Hematoxylin and eosin stain, 20× magnification, 13 tiles cut from one stomach biopsy slide.
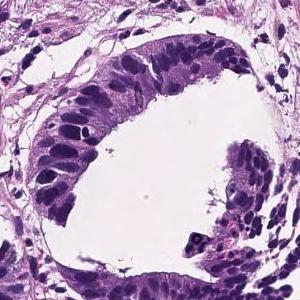
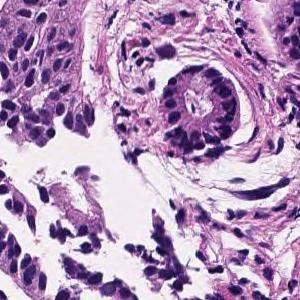
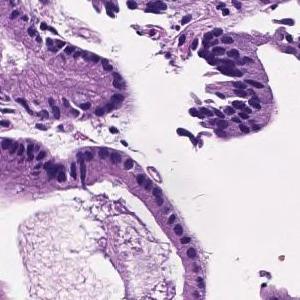
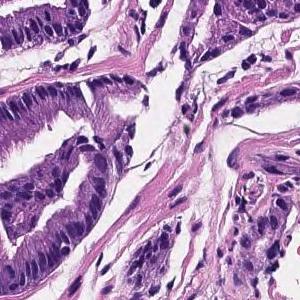
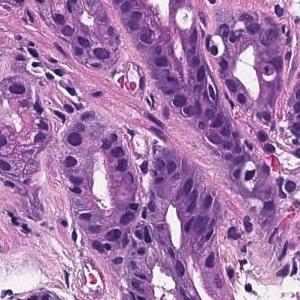
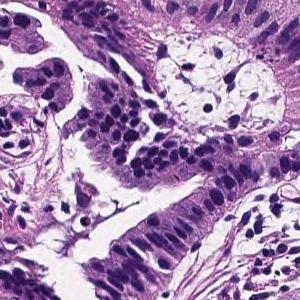
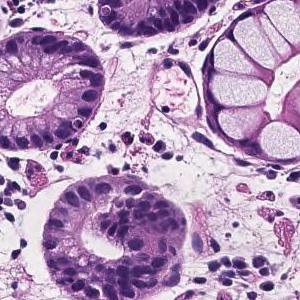
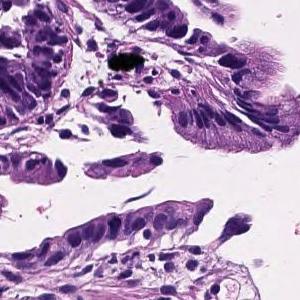
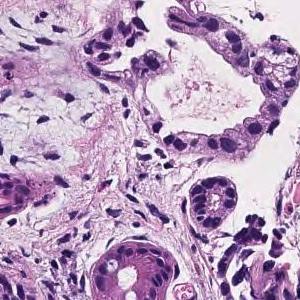
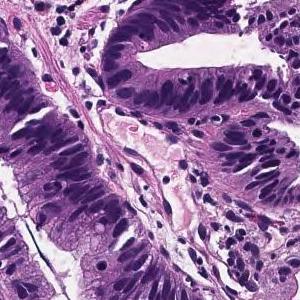
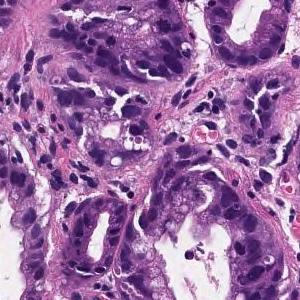
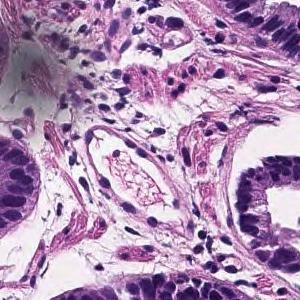
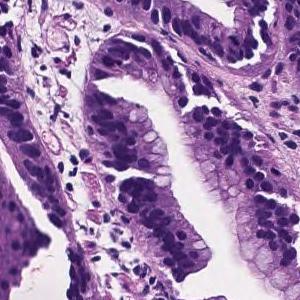
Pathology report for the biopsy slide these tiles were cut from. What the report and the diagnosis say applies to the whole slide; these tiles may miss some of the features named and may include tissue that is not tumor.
Tumor cells are large, highly columnar, large club-shaped nuclei, and are associated with chromatin aggregation. Papillary adenocarcinoma.
